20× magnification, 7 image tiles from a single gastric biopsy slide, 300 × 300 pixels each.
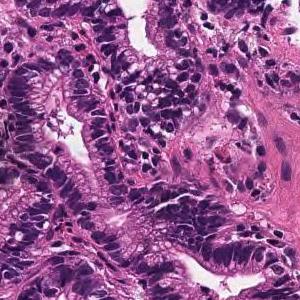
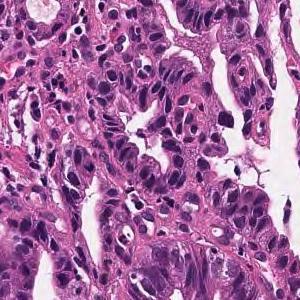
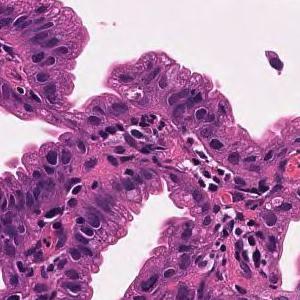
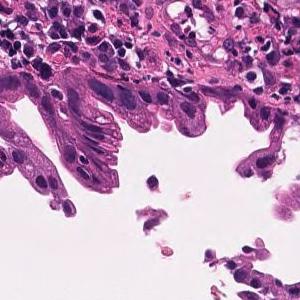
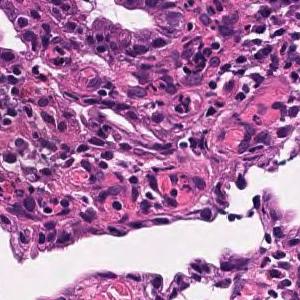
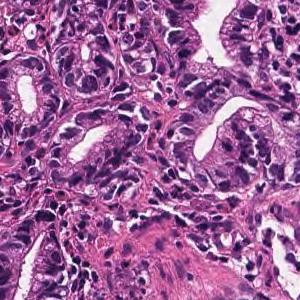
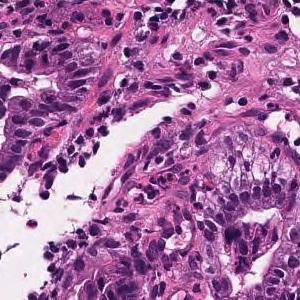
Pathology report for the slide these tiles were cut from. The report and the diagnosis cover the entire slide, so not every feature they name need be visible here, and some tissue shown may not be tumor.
Tumor tissue in which medium to small irregular ducts infiltrate and proliferate in the submucosa can be seen in the epithelium. Well differentiated tubular adenocarcinoma
